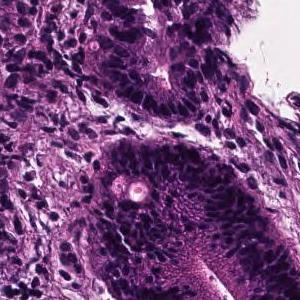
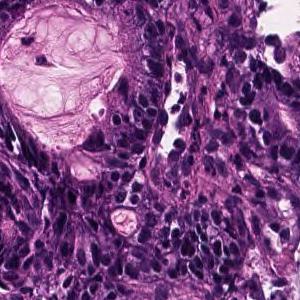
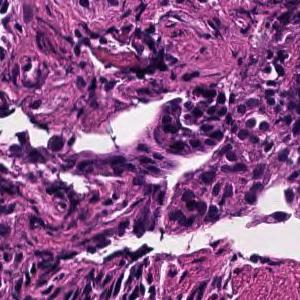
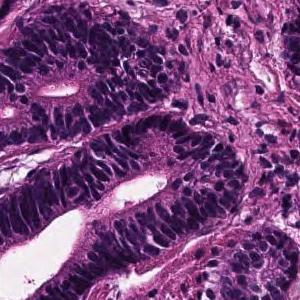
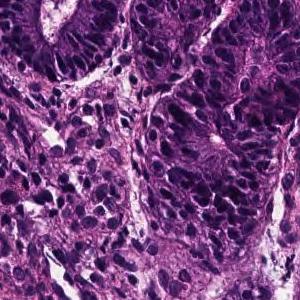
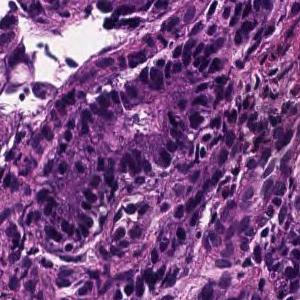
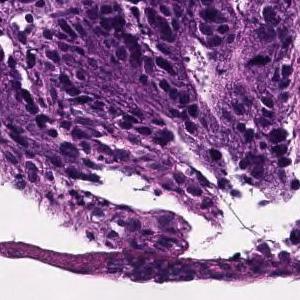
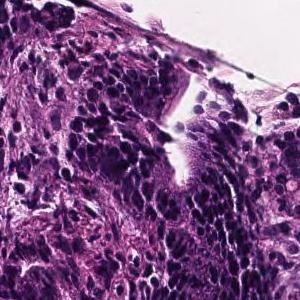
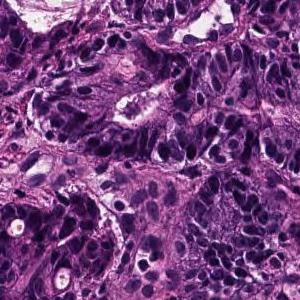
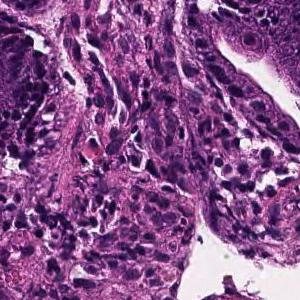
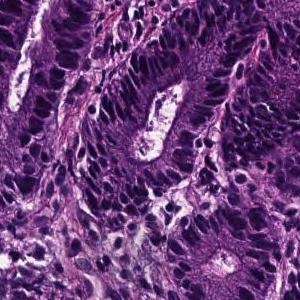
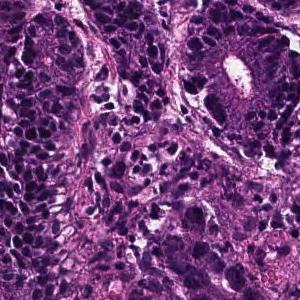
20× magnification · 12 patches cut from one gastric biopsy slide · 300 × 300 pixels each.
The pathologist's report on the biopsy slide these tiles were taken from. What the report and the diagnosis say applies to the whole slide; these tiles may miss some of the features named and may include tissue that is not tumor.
In the superficial epithelium, tumor tissue that invades by forming medium-sized to small, irregular ducts is observed. Well differentiated tubular adenocarcinoma.
